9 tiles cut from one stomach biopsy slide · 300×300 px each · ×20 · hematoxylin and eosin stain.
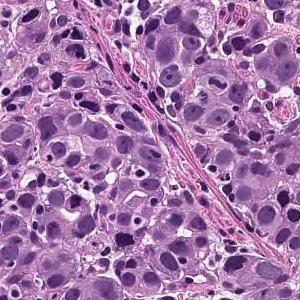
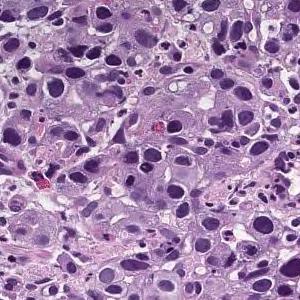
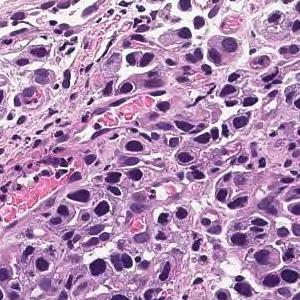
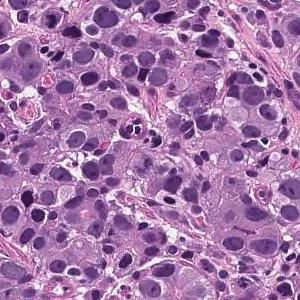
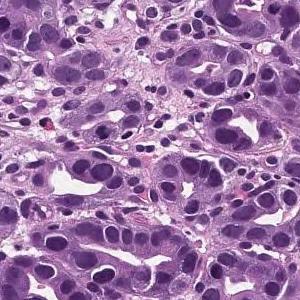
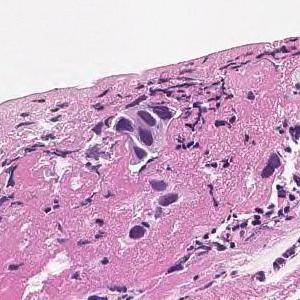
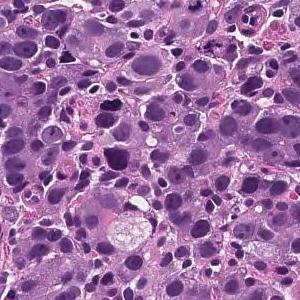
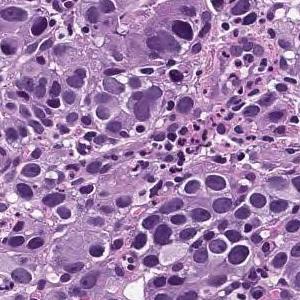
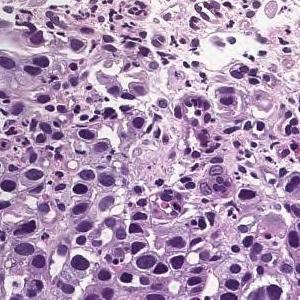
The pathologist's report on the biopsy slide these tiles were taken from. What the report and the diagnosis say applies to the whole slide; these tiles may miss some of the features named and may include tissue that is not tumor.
The superficial epithelium shows a large sheet or alveolar shape, and tumor tissue infiltrating without irregular ducts is observed. Poorly differentiated adenocarcinoma, solid-type
Histologic type: Poorly differentiated adenocarcinoma, solid type. This name comes from the Japanese Classification of Gastric Carcinoma; the WHO 2019 classification calls it tubular adenocarcinoma, poorly differentiated.
